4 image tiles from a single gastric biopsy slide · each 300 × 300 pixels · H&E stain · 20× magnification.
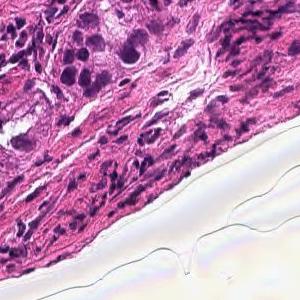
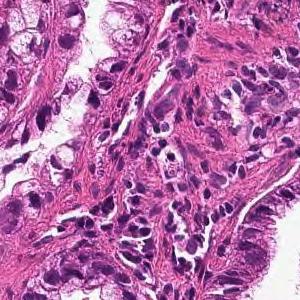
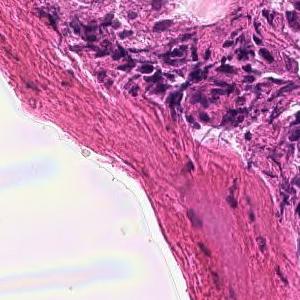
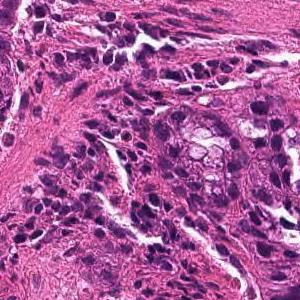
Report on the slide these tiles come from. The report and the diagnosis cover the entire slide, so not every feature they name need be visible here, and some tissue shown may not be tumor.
From the superficial epithelium to the muscularis mucosae, tumor tissue infiltrating by forming medium-sized irregular gland ducts is observed. Well differentiated tubular adenocarcinoma
